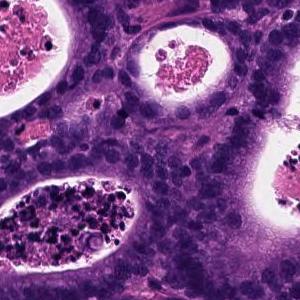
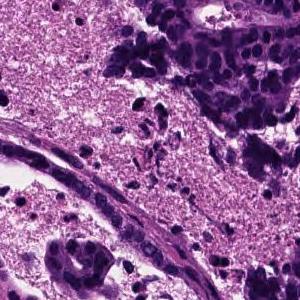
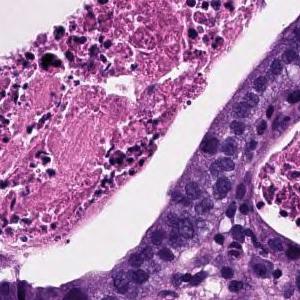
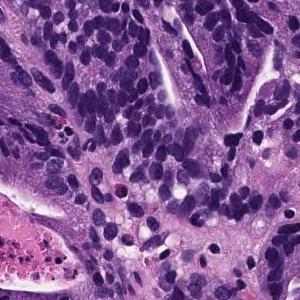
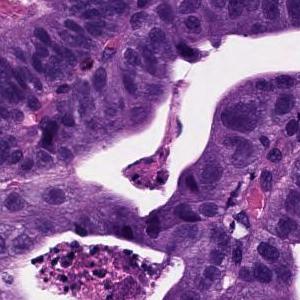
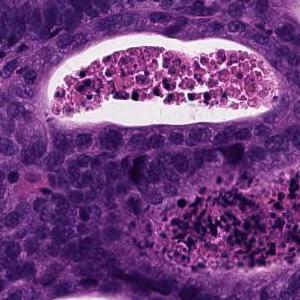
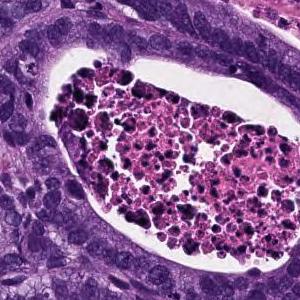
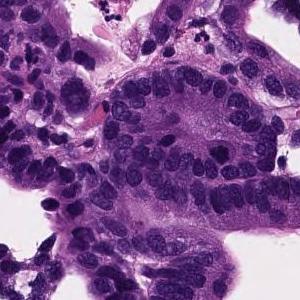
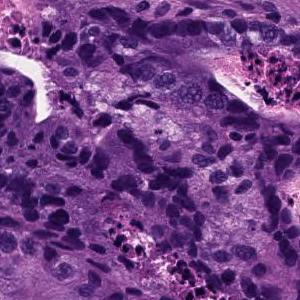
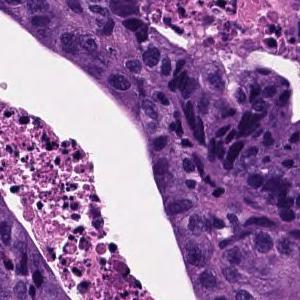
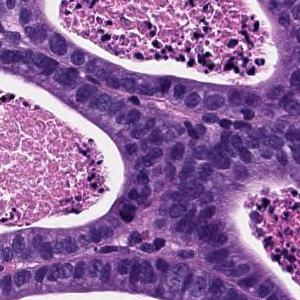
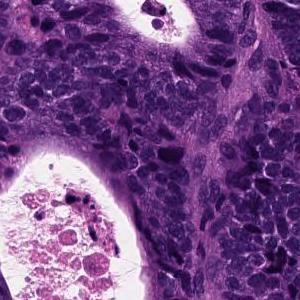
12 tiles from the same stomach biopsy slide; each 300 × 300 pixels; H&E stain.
Pathology report for the biopsy slide these tiles were cut from. Both the report and the diagnosis are for the whole slide: these tiles need not show every feature named, and some of the tissue shown may not be tumor.
From the superficial epithelium to the muscularis mucosae, tumor tissue consisting of medium-sized and irregular glandular ducts infiltrating is observed. Well differentiated tubular adenocarcinoma
